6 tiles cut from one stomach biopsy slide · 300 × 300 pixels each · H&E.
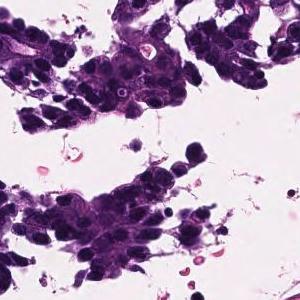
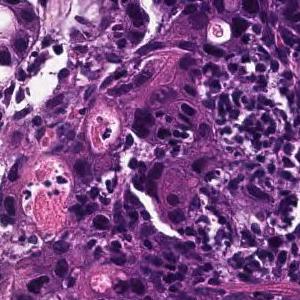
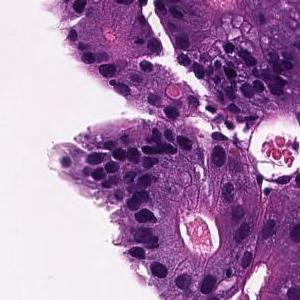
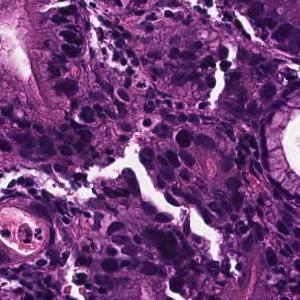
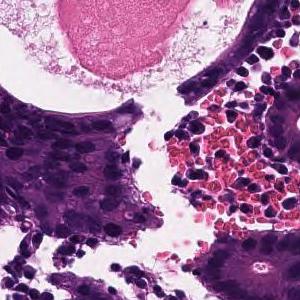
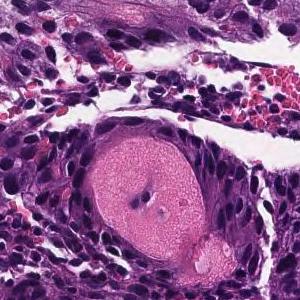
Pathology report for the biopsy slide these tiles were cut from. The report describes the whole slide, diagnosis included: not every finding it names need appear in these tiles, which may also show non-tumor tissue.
From the superficial epithelium to the muscularis mucosae, tumor tissue infiltrating by forming medium-sized irregular gland ducts is observed. Large tumor cells exhibit large nucleus and hyperchromatism. Well differentiated tubular adenocarcinoma
